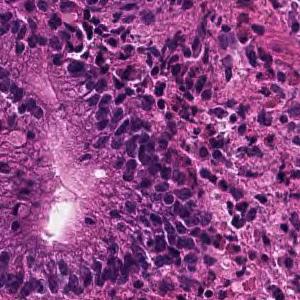
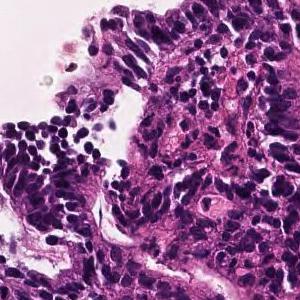
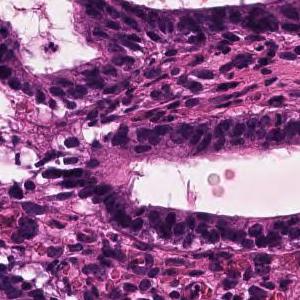
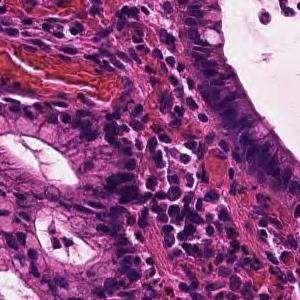
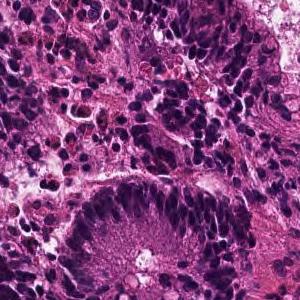
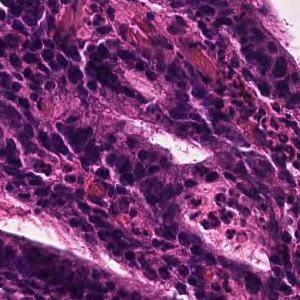
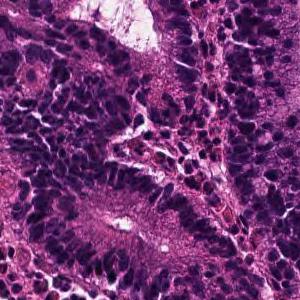
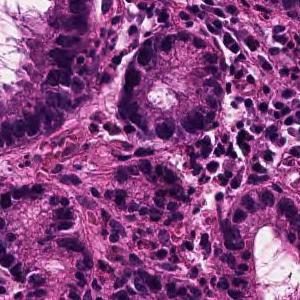
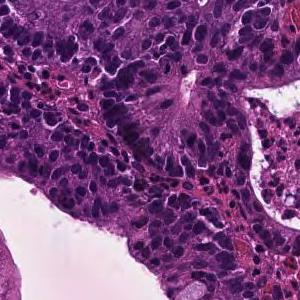
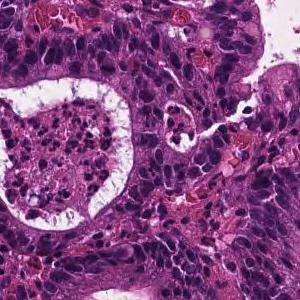
10 tiles cut from one stomach biopsy slide, 300 × 300 pixels each, 20× magnification.
Diagnostic report for the slide these tiles come from. The report and the diagnosis describe the slide as a whole, so these tiles may not show every feature named and may include non-tumor tissue.
In the superficial epithelium, tumor tissue that invades by forming medium-sized to small, irregular ducts is observed. moderately differentiated tubular adenocarcinoma.
